4 tiles from the same stomach biopsy slide; scanned at ×20; H&E.
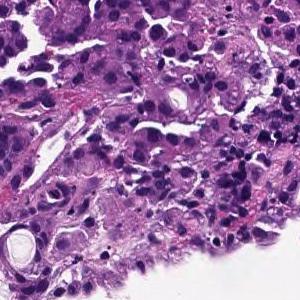
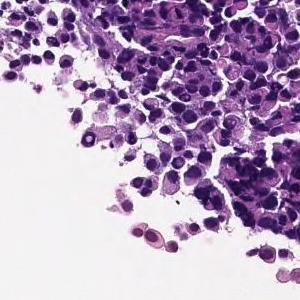
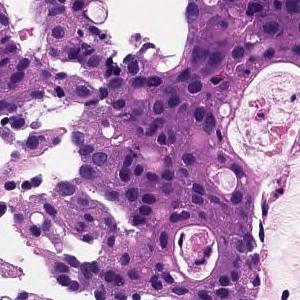
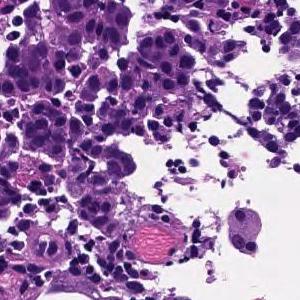
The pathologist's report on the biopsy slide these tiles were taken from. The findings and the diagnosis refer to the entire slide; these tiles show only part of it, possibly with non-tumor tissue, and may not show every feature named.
The superficial epithelium shows a large sheet-like shape, and some tumor tissue infiltrates with small irregular ducts. Poorly differentiated adenocarcinoma, solid-type
Subtype: Poorly differentiated adenocarcinoma, solid type (Japanese Classification of Gastric Carcinoma). The WHO 2019 equivalent is tubular adenocarcinoma, poorly differentiated.
